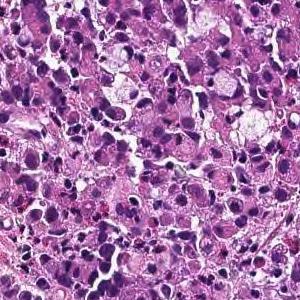
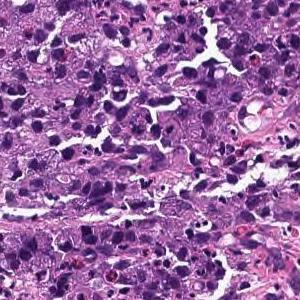
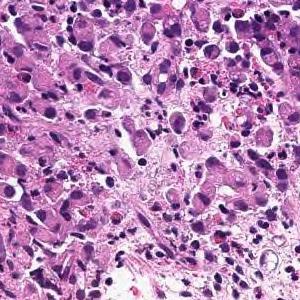
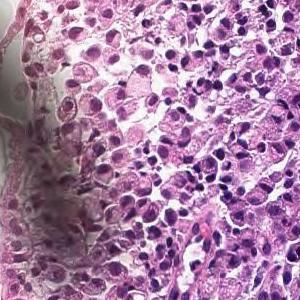
4 patches cut from one gastric biopsy slide; H&E stain.
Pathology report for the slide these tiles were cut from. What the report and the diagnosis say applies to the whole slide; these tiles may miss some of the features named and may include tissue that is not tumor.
Tumor tissue consisting of diffusely infiltrated large atypical epithelial cells or signet ring atypical cells is observed in the superficial epithelium. Poorly differentiated adenocarcinoma, solid-type
Histological subtype: Poorly differentiated adenocarcinoma, solid type. This name comes from the Japanese Classification of Gastric Carcinoma; the WHO 2019 classification calls it tubular adenocarcinoma, poorly differentiated.
